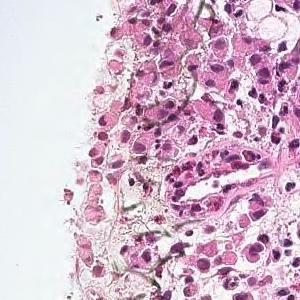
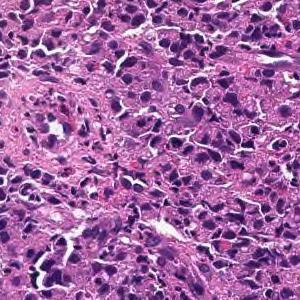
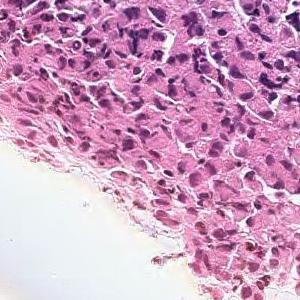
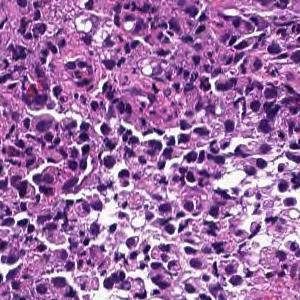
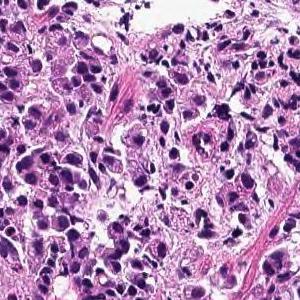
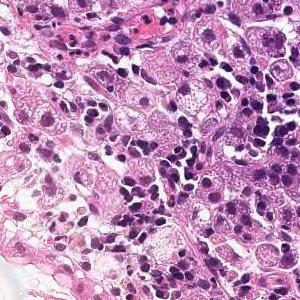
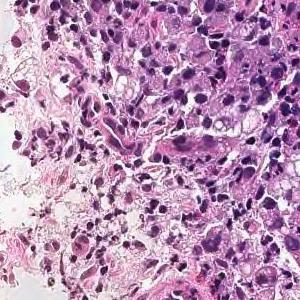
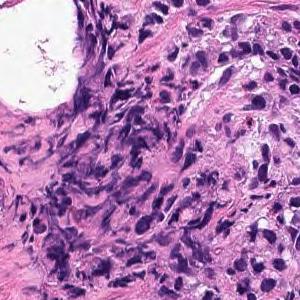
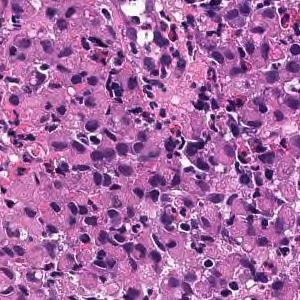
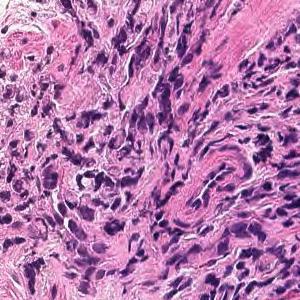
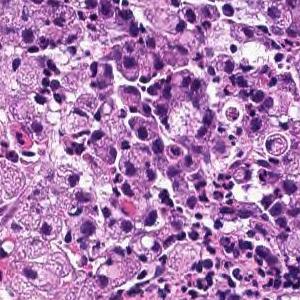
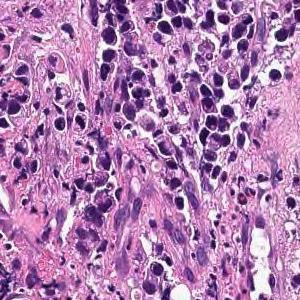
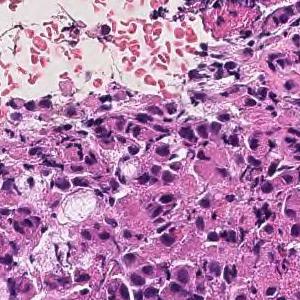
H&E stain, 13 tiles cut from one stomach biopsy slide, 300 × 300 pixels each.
Pathology report for the slide these tiles were cut from. The report and the diagnosis describe the slide as a whole, so these tiles may not show every feature named and may include non-tumor tissue.
Tumor tissue consisting of diffusely infiltrated large atypical epithelial cells or signet ring atypical cells is observed in the superficial epithelium. Poorly differentiated adenocarcinoma, solid-type
Subtype: Poorly differentiated adenocarcinoma, solid type, a category of the Japanese Classification of Gastric Carcinoma; in the WHO 2019 classification it is tubular adenocarcinoma, poorly differentiated.
